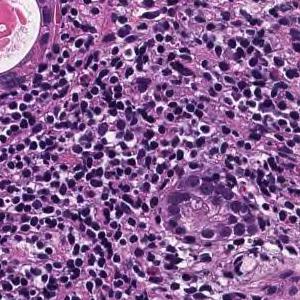
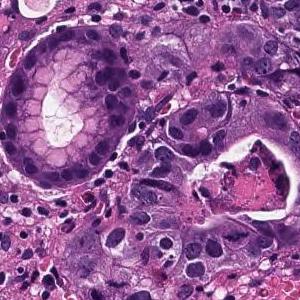
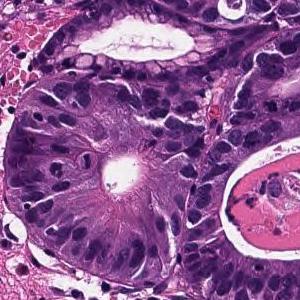
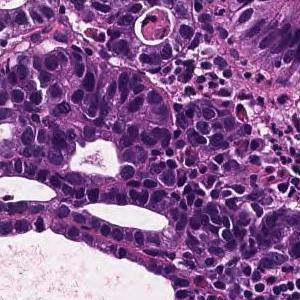
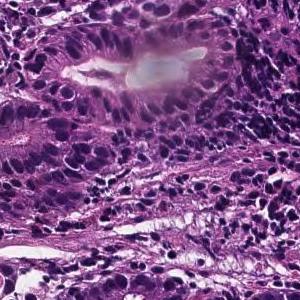
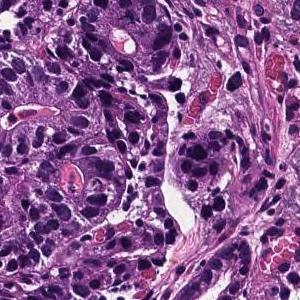
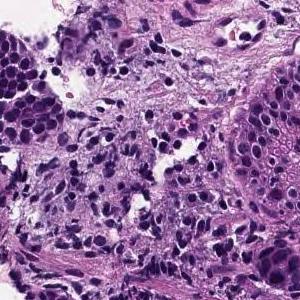
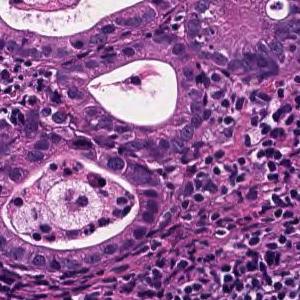
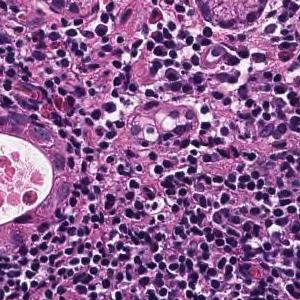
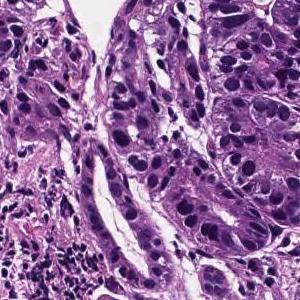
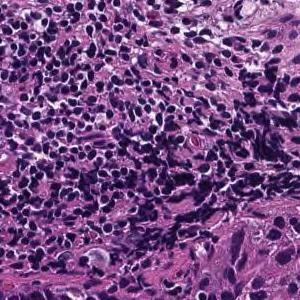
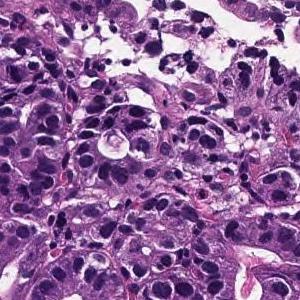
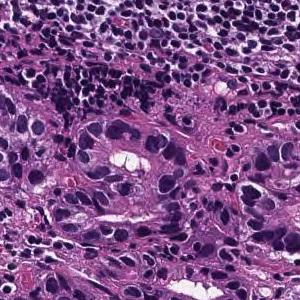
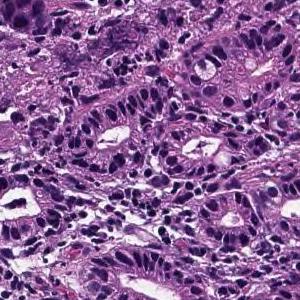
14 patches cut from one gastric biopsy slide, each 300 × 300 pixels.
Diagnostic report for the slide these tiles come from. Both the report and the diagnosis are for the whole slide: these tiles need not show every feature named, and some of the tissue shown may not be tumor.
In the superficial epithelium, tumor tissue that invades by forming medium-sized to small, irregular ducts is observed. Well differentiated tubular adenocarcinoma.
